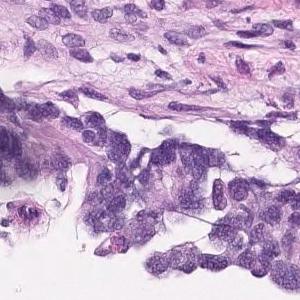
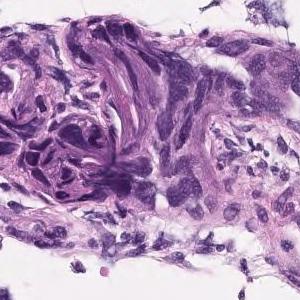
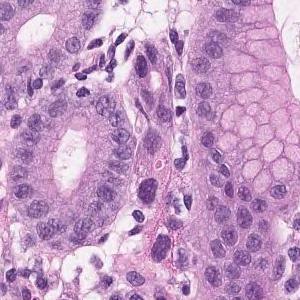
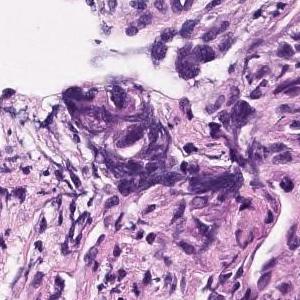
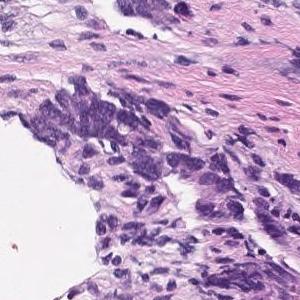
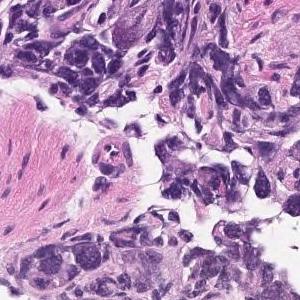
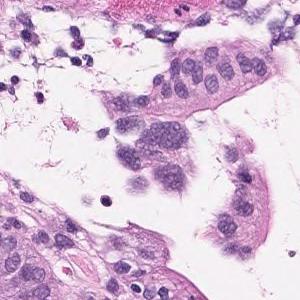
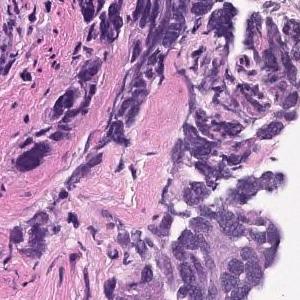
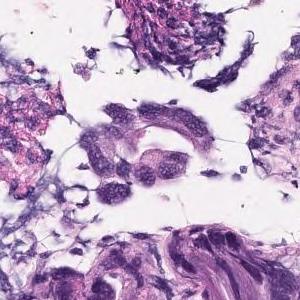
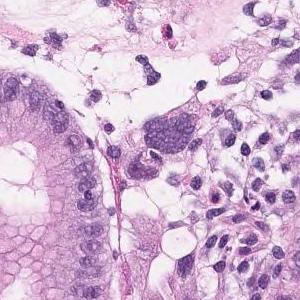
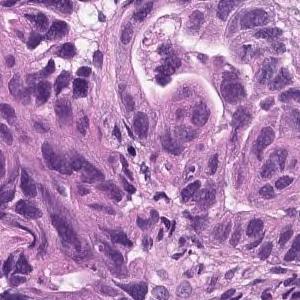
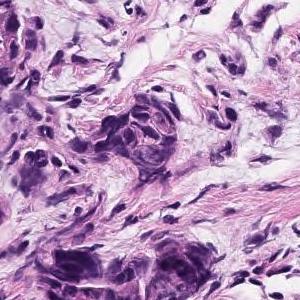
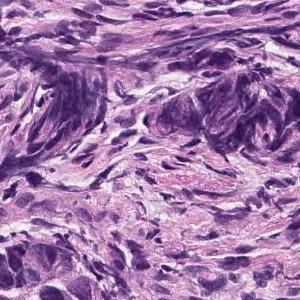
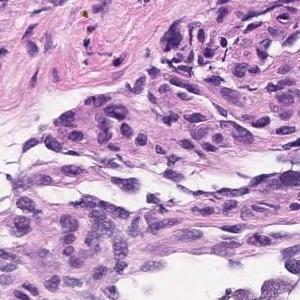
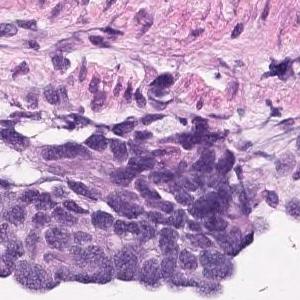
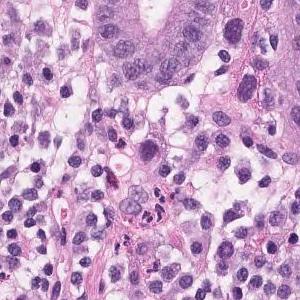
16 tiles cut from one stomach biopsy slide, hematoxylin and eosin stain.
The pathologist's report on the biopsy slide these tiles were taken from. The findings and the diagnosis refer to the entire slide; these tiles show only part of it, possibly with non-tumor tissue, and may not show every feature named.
Atypical l cells with atypical nuclei under the mucosa growing in isolation and scattered. Moderately to poorly differentiated adenocarcinoma (moderately differentiated tubular adenocarcinoma poorly differentiated adenocarcinoma, solid type)
Subtype: Moderately to poorly differentiated adenocarcinoma.
"Solid type" is a category of the Japanese Classification of Gastric Carcinoma; in the WHO 2019 classification it is tubular adenocarcinoma, poorly differentiated.
